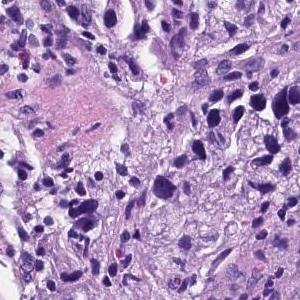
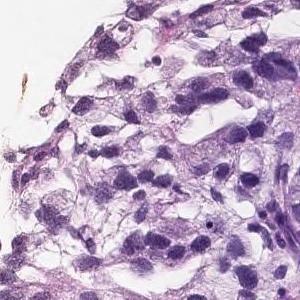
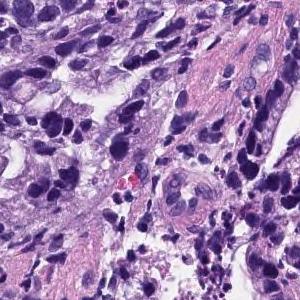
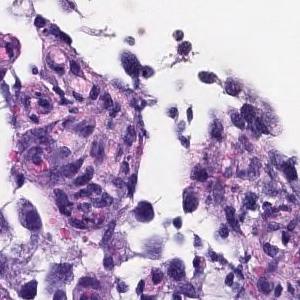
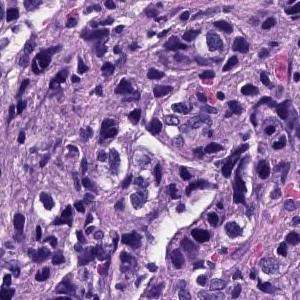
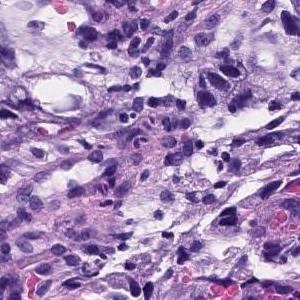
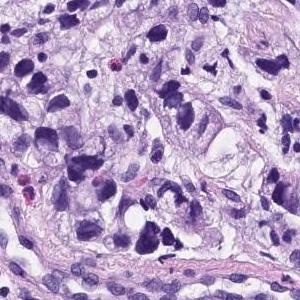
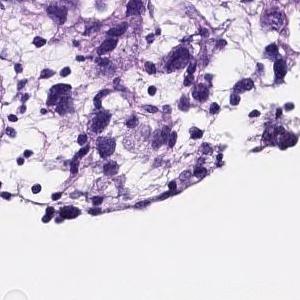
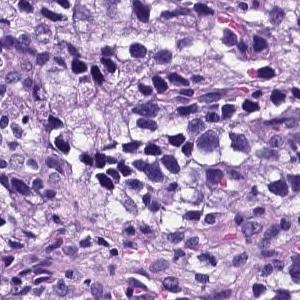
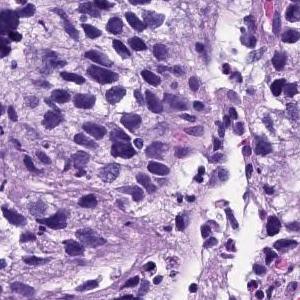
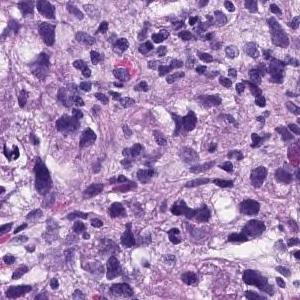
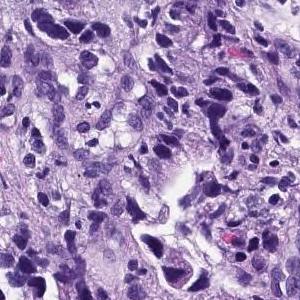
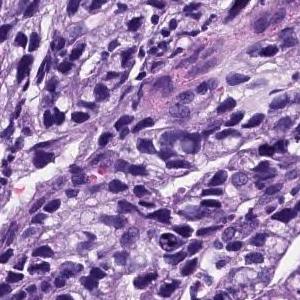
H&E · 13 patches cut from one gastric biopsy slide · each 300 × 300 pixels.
Report on the slide these tiles come from. The report and the diagnosis describe the slide as a whole, so these tiles may not show every feature named and may include non-tumor tissue.
Medium to small, irregular glandular ducts are formed in the superficial epithelium, and in some cases, the glandular ducts are fused to show solid alveolar lesions and infiltrating tumor tissue is observed. Poorly differentiated adenocarcinoma, Moderately differentiated adenocarcinoma.
Labeled in the dataset as moderately differentiated tubular adenocarcinoma.
